H&E · ×20 · 8 tiles from the same stomach biopsy slide · each 300 × 300 pixels.
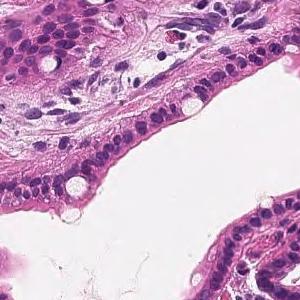
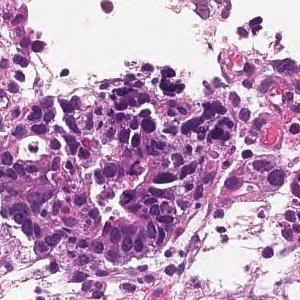
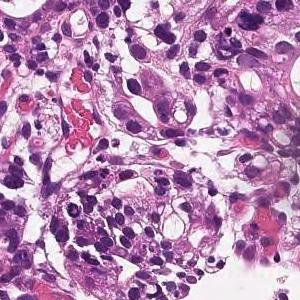
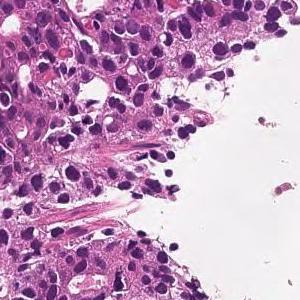
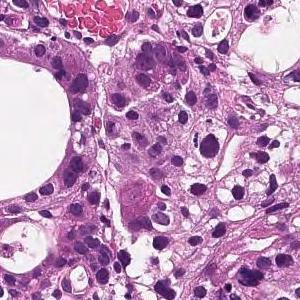
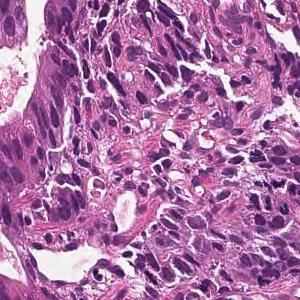
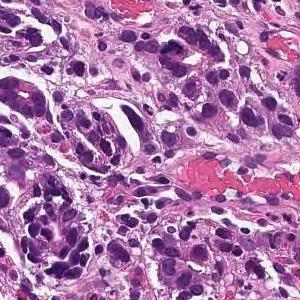
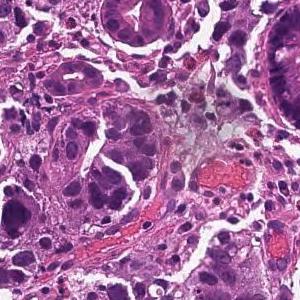
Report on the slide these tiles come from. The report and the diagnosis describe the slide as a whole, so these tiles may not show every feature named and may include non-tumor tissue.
On the superficial epithelium, tumor tissue is found in which medium-sized irregular gland ducts fuse with each other and infiltrate. moderately differentiated tubular adenocarcinoma
